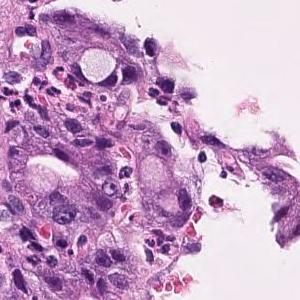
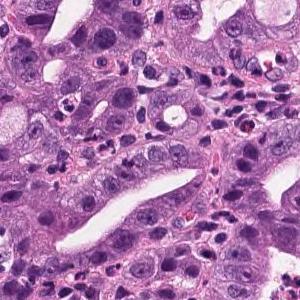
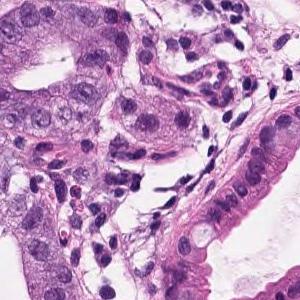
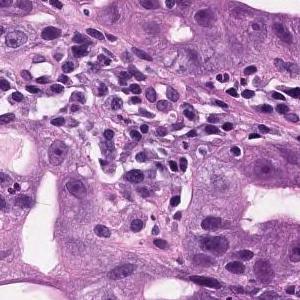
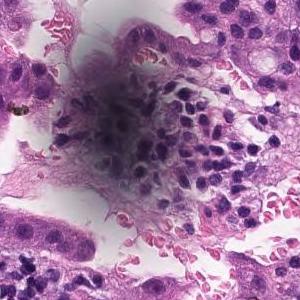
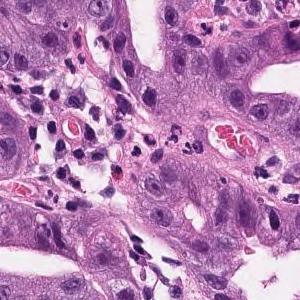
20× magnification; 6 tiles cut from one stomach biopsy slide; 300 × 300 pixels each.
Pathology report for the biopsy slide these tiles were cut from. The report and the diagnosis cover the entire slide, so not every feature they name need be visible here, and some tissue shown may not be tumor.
In the superficial epithelium, tumor tissue that invades by forming medium-sized to small, irregular ducts is observed. Well to moderately differentiated adenocarcinoma (well differentiated tubular adenocarcinoma, moderately differentiated tubular adenocarcinoma).
Subtype: Well to moderately differentiated tubular adenocarcinoma.
